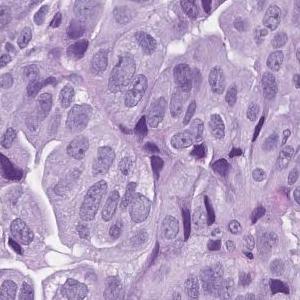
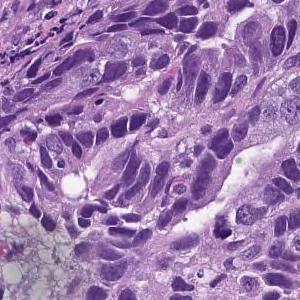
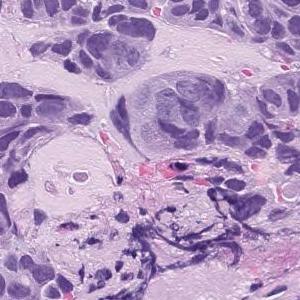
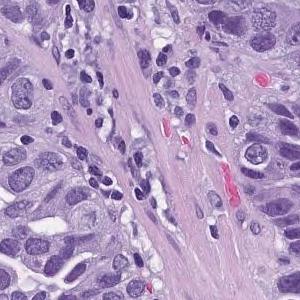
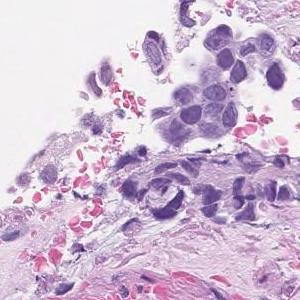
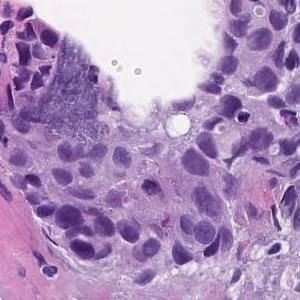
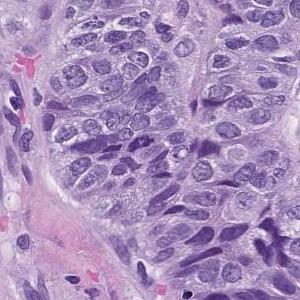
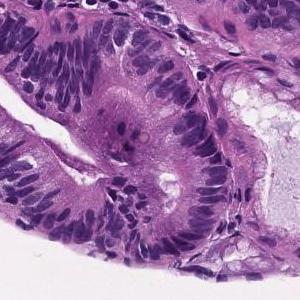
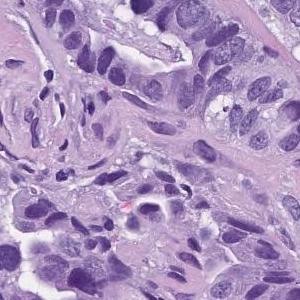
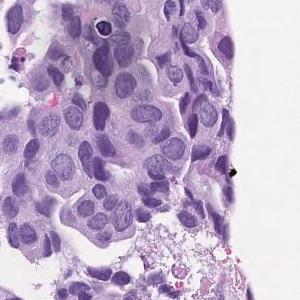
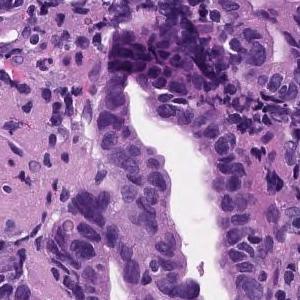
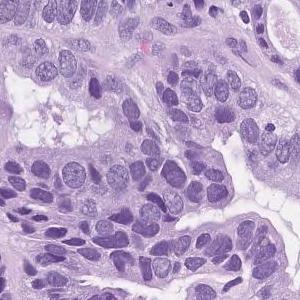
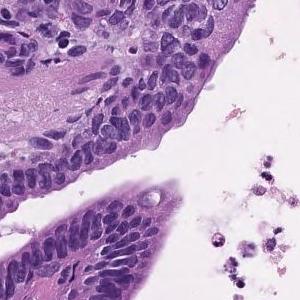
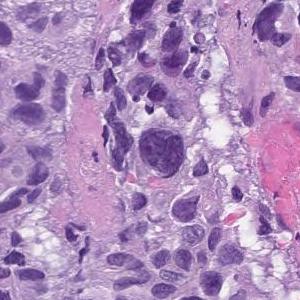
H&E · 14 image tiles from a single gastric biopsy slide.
The pathologist's report on the biopsy slide these tiles were taken from. The report describes the whole slide, diagnosis included: not every finding it names need appear in these tiles, which may also show non-tumor tissue.
In the superficial epithelium, tumor tissue that invades by forming medium-sized to small, irregular ducts is observed. moderately differentiated tubular adenocarcinoma.
